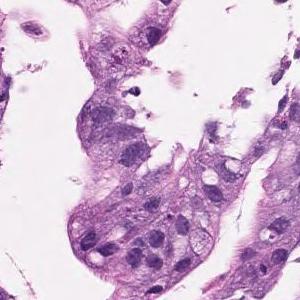
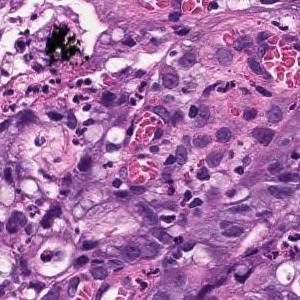
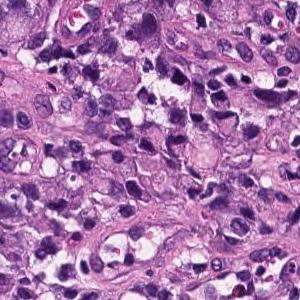
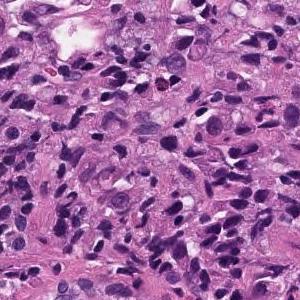
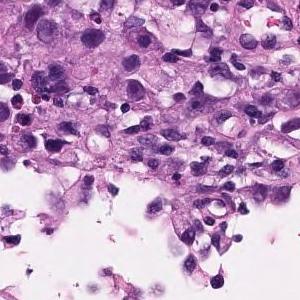
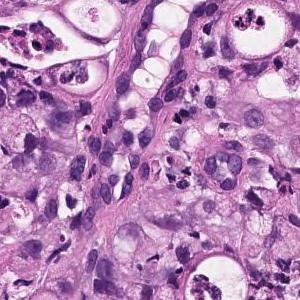
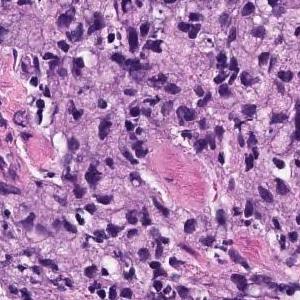
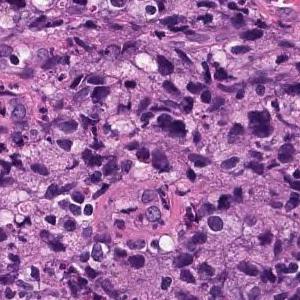
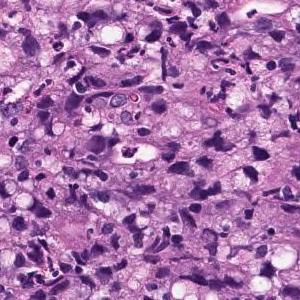
H&E, ×20, 9 tiles cut from one stomach biopsy slide.
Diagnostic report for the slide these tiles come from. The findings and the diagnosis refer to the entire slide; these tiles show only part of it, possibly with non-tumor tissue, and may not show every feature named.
Atypical epithelium forms irregularly fused gland ducts and proliferates. Poorly differentiated adenocarcinoma.
Tumor subtype: poorly differentiated adenocarcinoma, non-solid type.
The non-solid type named here is a Japanese Classification of Gastric Carcinoma category.
